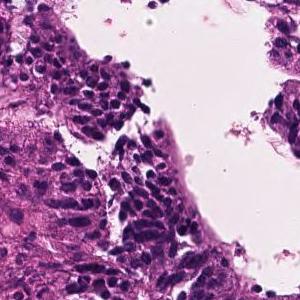
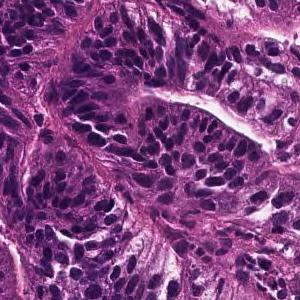
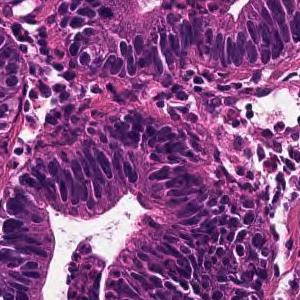
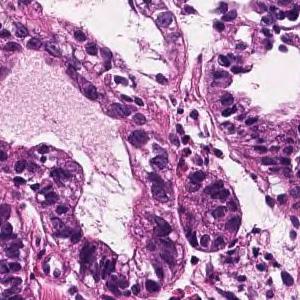
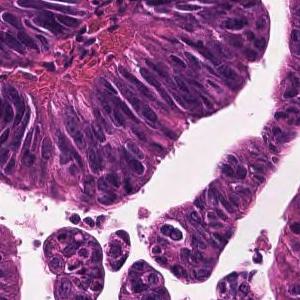
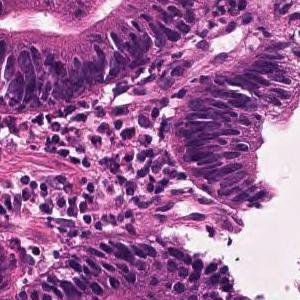
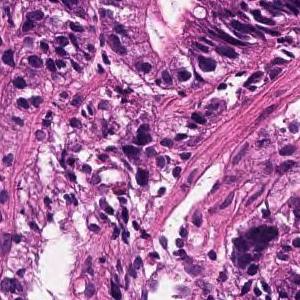
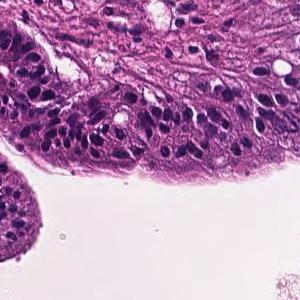
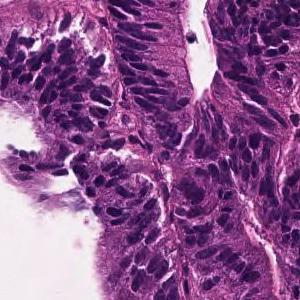
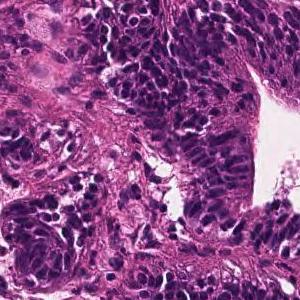
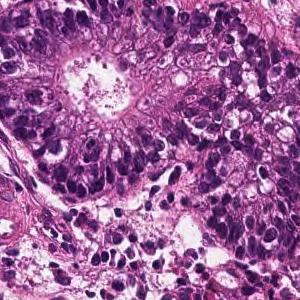
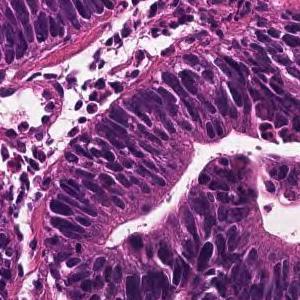
12 tiles from the same stomach biopsy slide, 20× magnification, H&E stain.
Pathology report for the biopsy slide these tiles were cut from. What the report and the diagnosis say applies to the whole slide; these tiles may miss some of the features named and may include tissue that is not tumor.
A large irregular tubular structure is exhibited in the epithelium, and tumor tissue that partially fuses and infiltrates and proliferates is observed. Large columnar tumor cells exhibit enlarged nucleus, hyperchromatism, and mitotic figures. Well differentiated tubular adenocarcinoma
